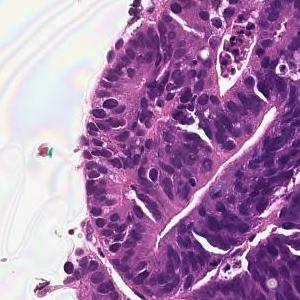
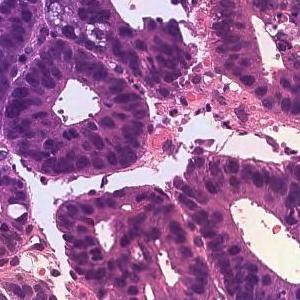
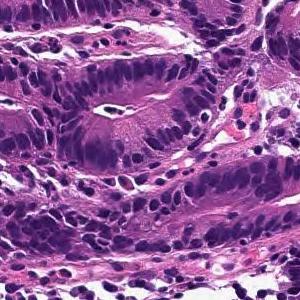
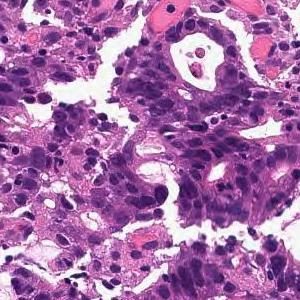
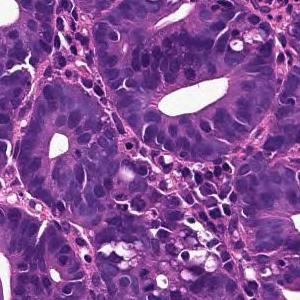
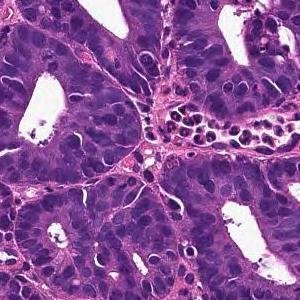
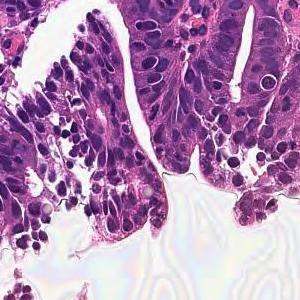
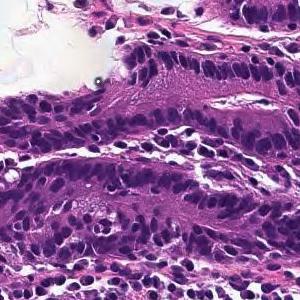
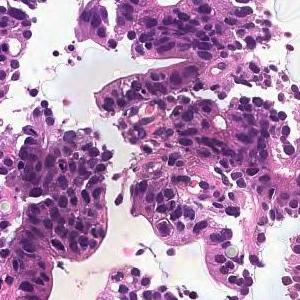
20× magnification, H&E stain, 9 tiles from the same stomach biopsy slide, each 300 × 300 pixels.
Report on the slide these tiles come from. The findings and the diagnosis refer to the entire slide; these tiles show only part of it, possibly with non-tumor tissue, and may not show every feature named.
On the superficial epithelium, tumor tissue consisting of large irregular glandular ducts partially fused and infiltrated is observed. Well to moderately differentiated tubular adenocarcinoma (well differentiated tubular adenocarcinoma, moderately differentiated tubular adenocarcinoma)
Histologic type: Well to moderately differentiated tubular adenocarcinoma.
